H&E; 13 image tiles from a single gastric biopsy slide; each 300 × 300 pixels.
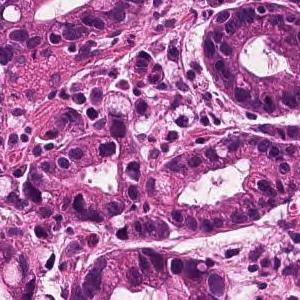
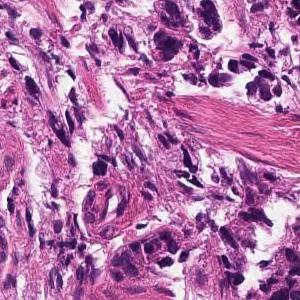
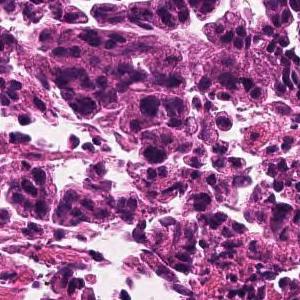
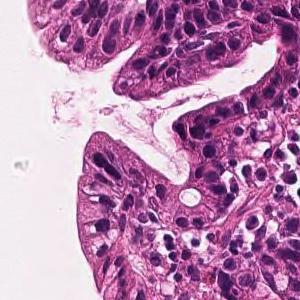
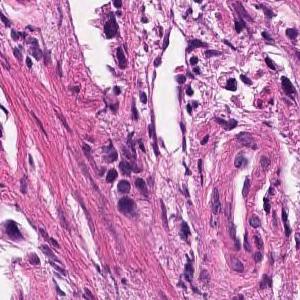
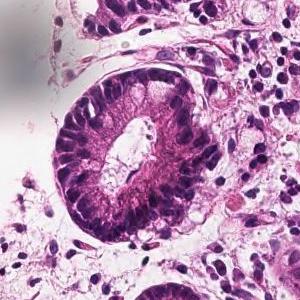
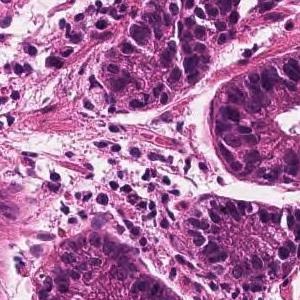
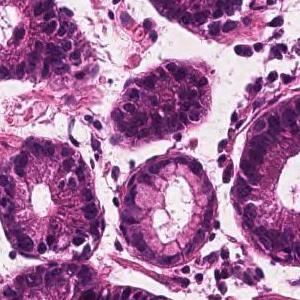
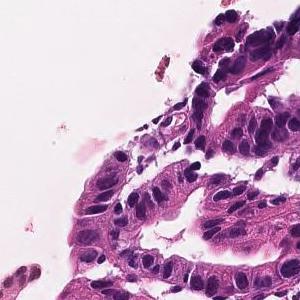
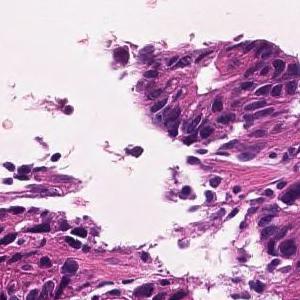
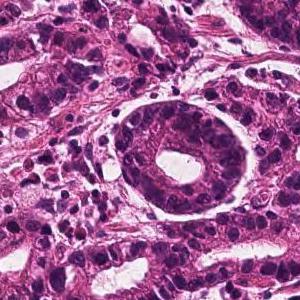
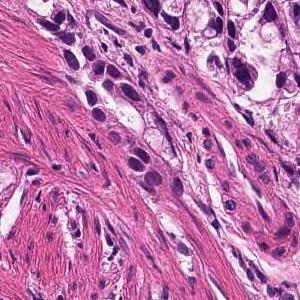
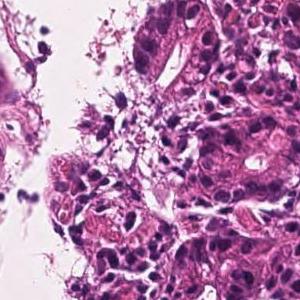
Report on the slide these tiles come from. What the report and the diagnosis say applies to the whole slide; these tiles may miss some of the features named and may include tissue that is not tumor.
In the superficial epithelium, tumor tissue that invades by forming medium-sized to small, irregular ducts is observed. moderately differentiated tubular adenocarcinoma.
